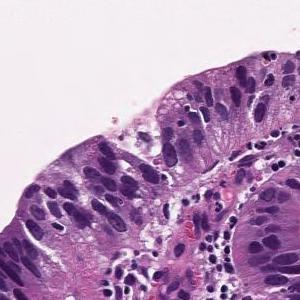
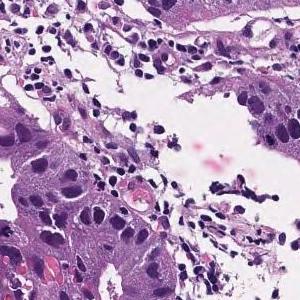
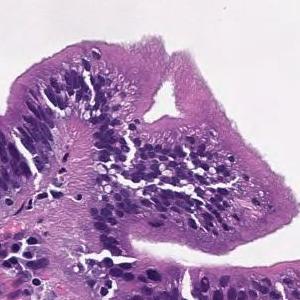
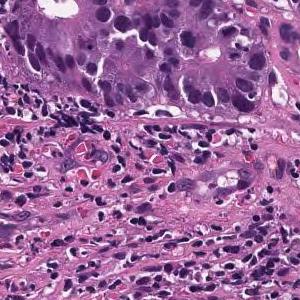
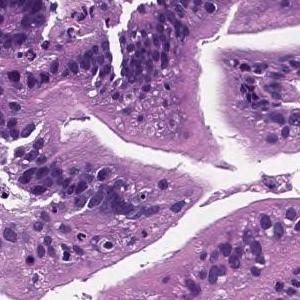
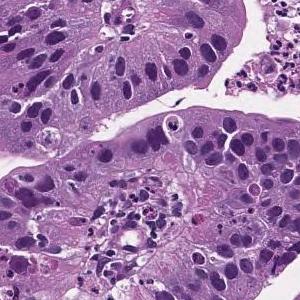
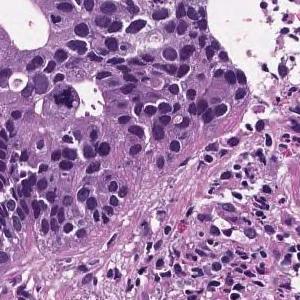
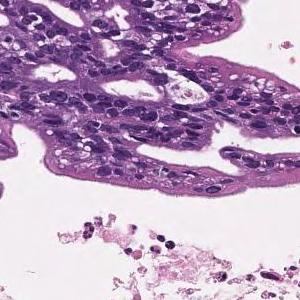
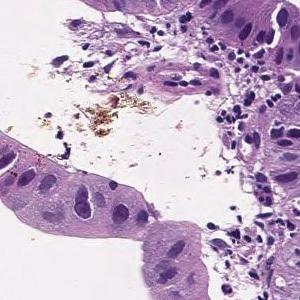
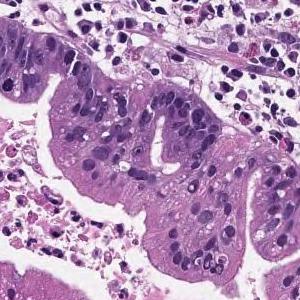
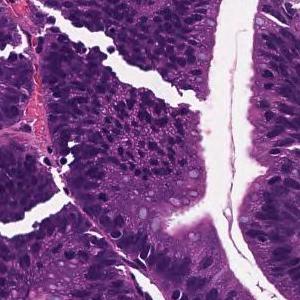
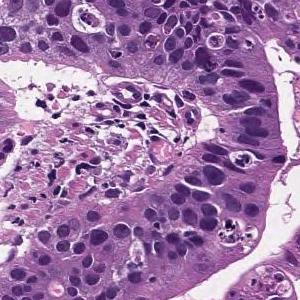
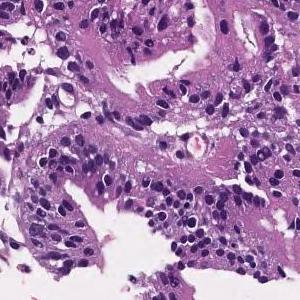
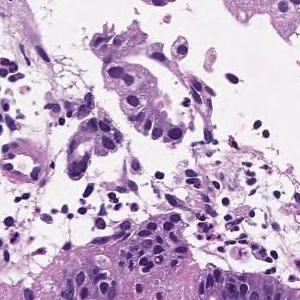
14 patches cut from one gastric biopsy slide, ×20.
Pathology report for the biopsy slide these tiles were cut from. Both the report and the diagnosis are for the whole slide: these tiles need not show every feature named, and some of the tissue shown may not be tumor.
Tumor cells are large, highly columnar, large club-shaped nuclei, and are associated with chromatin aggregation. Papillary adenocarcinoma.
